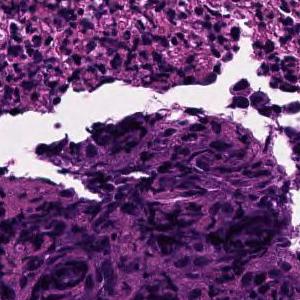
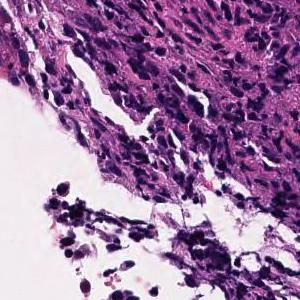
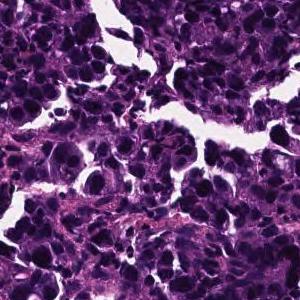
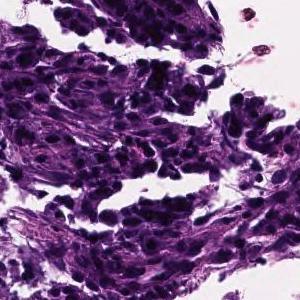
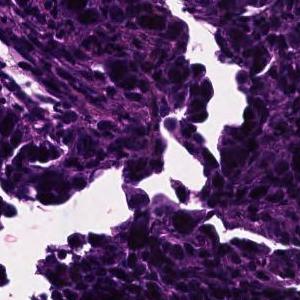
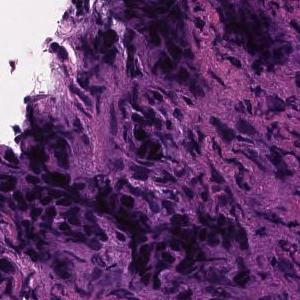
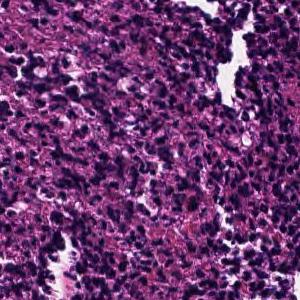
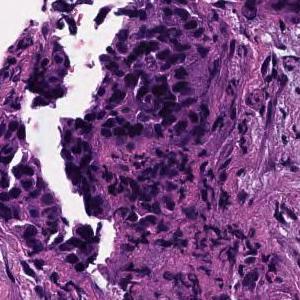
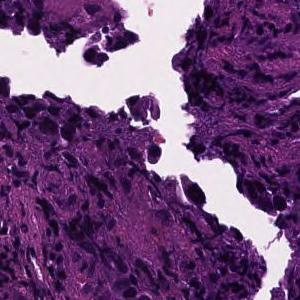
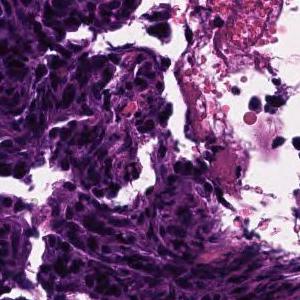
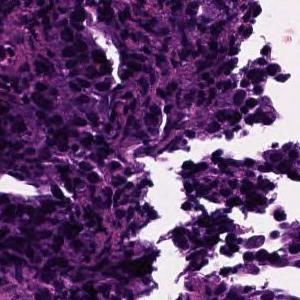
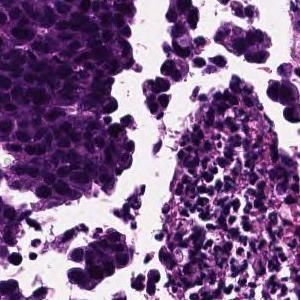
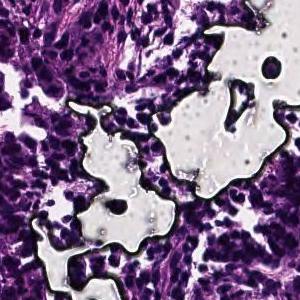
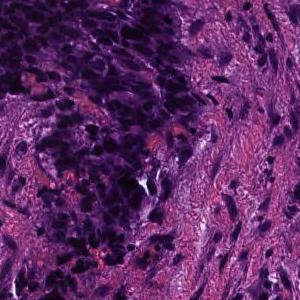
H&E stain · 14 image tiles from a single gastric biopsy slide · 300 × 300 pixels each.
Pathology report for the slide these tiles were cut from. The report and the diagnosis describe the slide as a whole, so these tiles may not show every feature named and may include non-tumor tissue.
In the superficial epithelium, tumor tissue that invades by forming medium-sized to small, irregular ducts is observed. moderately differentiated tubular adenocarcinoma.
